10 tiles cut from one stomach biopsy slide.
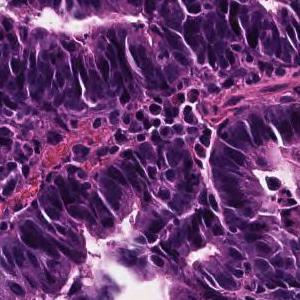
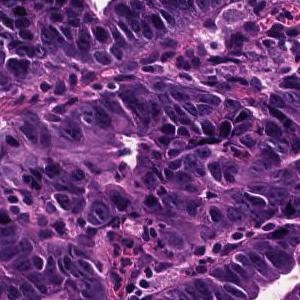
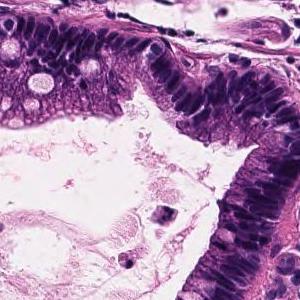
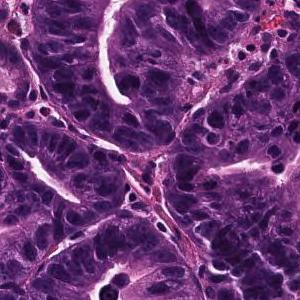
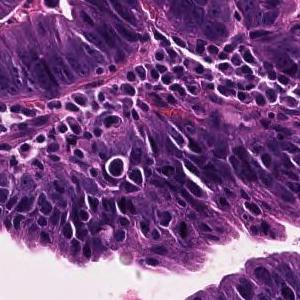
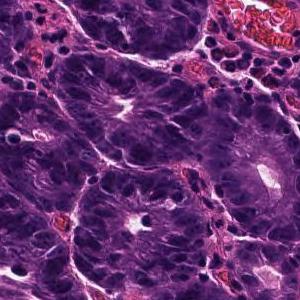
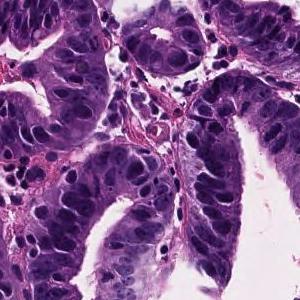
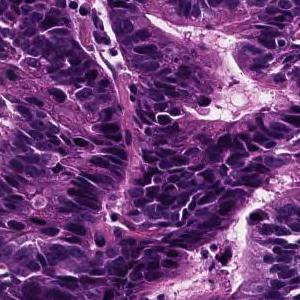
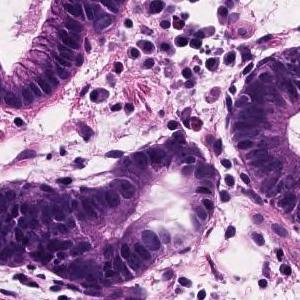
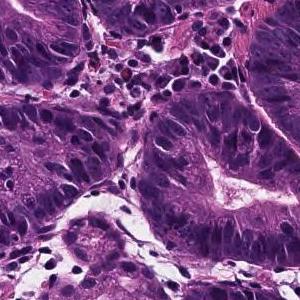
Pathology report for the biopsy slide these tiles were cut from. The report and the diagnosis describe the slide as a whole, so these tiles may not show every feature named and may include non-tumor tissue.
On the superficial epithelium, tumor tissue consisting of growth of medium-sized to large-sized, round or irregular glandular ducts is observed. Well differentiated tubular adenocarcinoma
